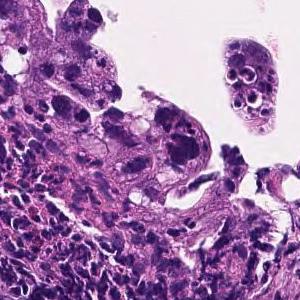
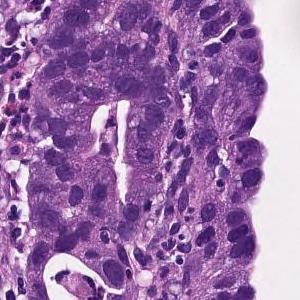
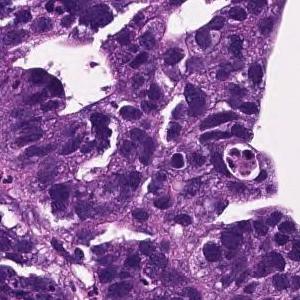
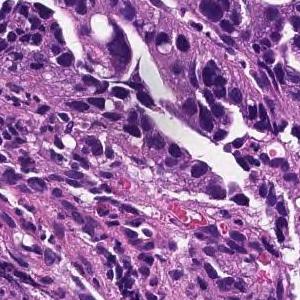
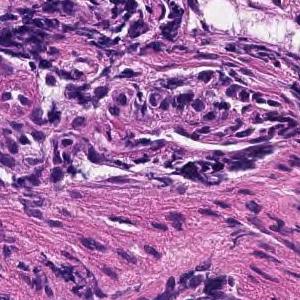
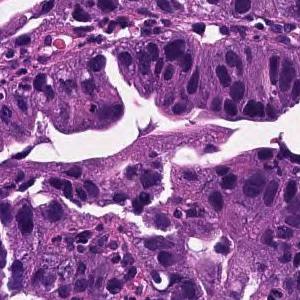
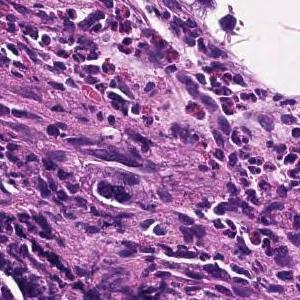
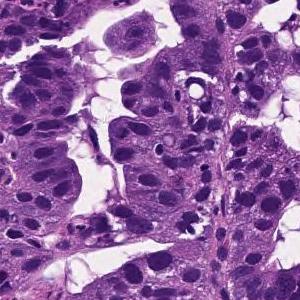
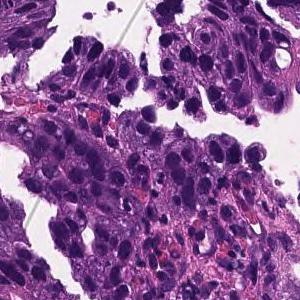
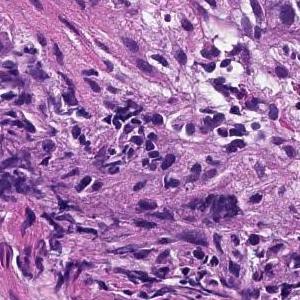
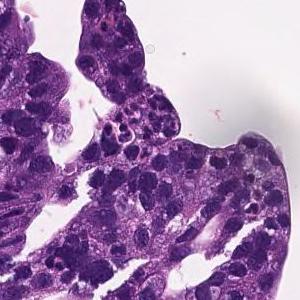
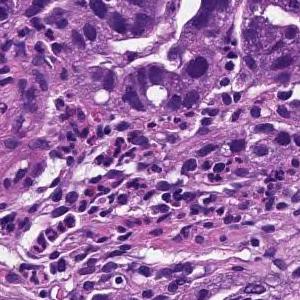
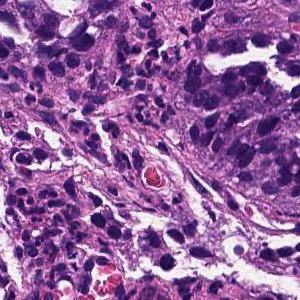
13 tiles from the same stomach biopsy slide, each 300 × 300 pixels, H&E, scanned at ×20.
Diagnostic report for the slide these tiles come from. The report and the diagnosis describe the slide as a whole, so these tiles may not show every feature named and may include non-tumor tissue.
Tumor tissue consisting of large papillary structures is found in the superficial epithelium. Papillary adenocarcinoma.
